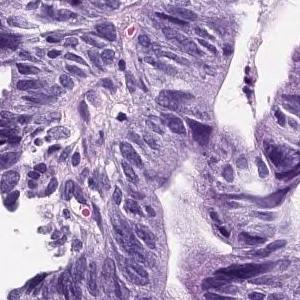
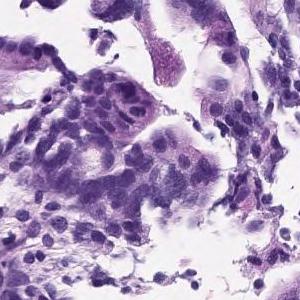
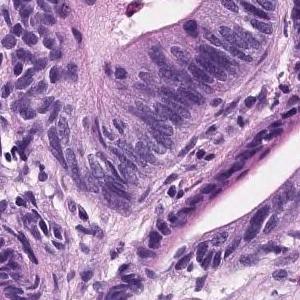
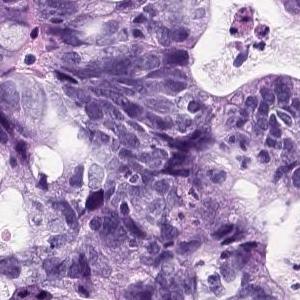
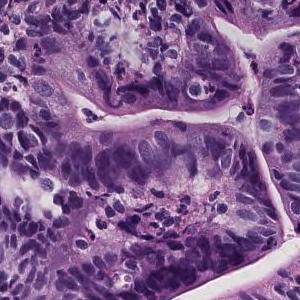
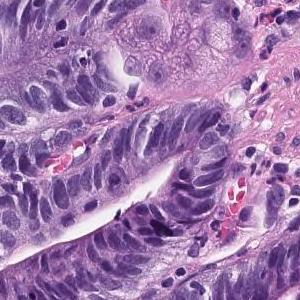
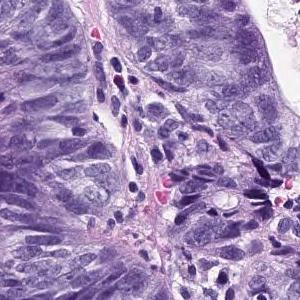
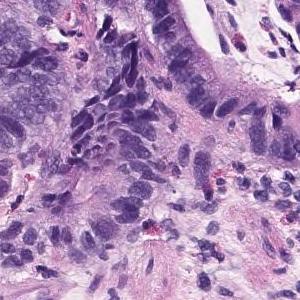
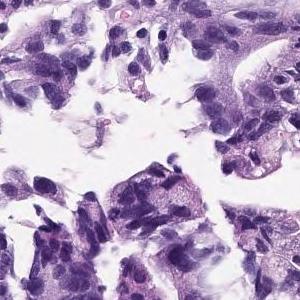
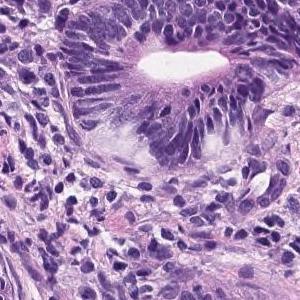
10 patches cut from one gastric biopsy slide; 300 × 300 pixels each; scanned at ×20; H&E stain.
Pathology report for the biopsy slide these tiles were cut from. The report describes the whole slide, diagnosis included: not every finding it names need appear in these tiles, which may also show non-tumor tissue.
On the superficial epithelium, tumor tissue consisting of medium-sized to large-sized, round or irregular glandular duct growth images is observed. Well differentiated adenocarcinoma.
Subtype: Well differentiated tubular adenocarcinoma.
